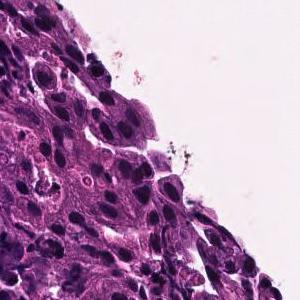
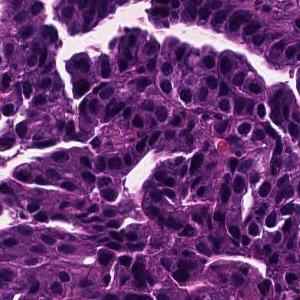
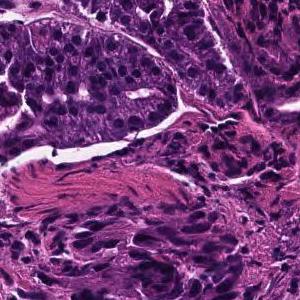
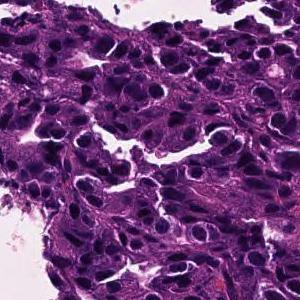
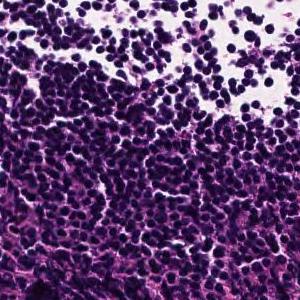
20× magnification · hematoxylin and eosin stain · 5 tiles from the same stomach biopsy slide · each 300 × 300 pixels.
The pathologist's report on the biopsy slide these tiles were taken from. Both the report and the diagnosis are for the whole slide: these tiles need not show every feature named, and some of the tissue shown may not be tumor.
Tumor tissue consisting of medium-sized, cord-like or irregular glandular fusion and infiltration is observed in the superficial epithelium. Poorly differentiated adenocarcinoma, non-solid type or moderately differentiated tubular adenocarcinoma
Histological subtype: Moderately to poorly differentiated adenocarcinoma.
The term "non-solid type" comes from the Japanese Classification of Gastric Carcinoma.
